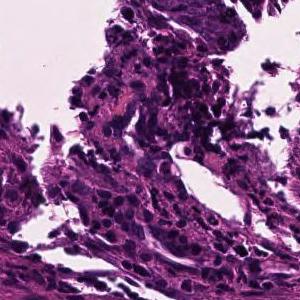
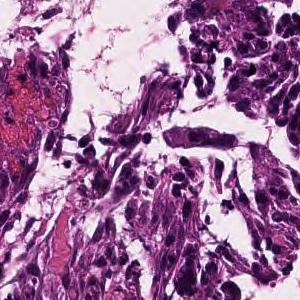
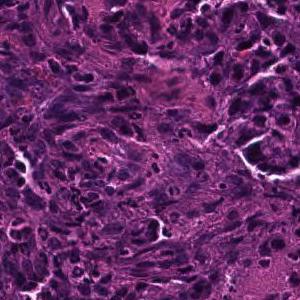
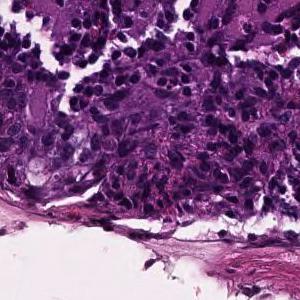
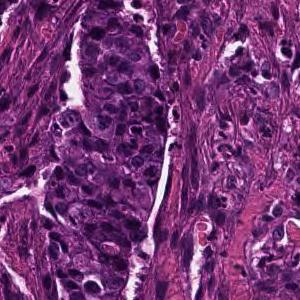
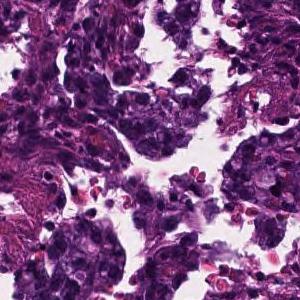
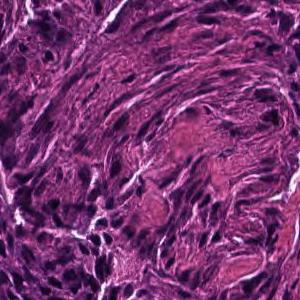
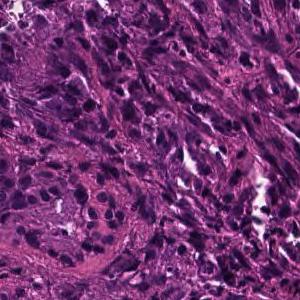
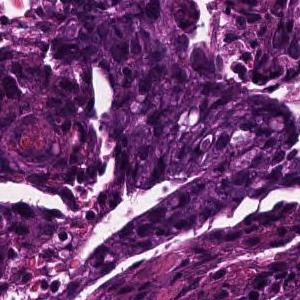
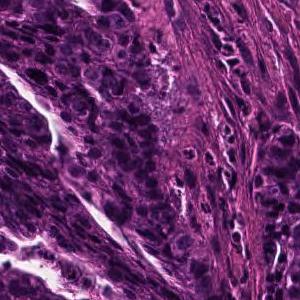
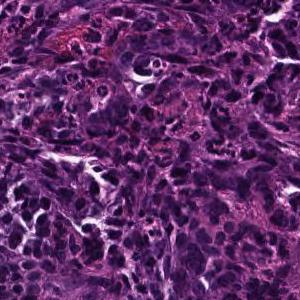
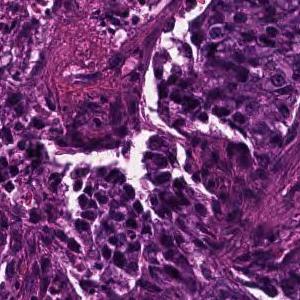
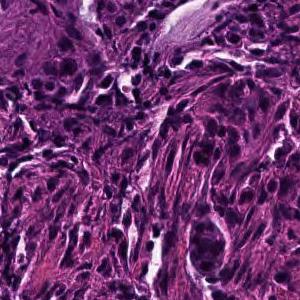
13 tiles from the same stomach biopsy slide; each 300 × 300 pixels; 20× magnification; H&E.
Pathology report for the slide these tiles were cut from. The findings and the diagnosis refer to the entire slide; these tiles show only part of it, possibly with non-tumor tissue, and may not show every feature named.
Tumor tissue consisting of medium-sized, cord-like or irregular glandular infiltration is observed in the superficial epithelium. Poorly differentiated adenocarcinoma, non-solid type or moderately differentiated tubular adenocarcinoma
Histological subtype: Moderately to poorly differentiated adenocarcinoma.
"Non-solid type" is a category of the Japanese Classification of Gastric Carcinoma.
